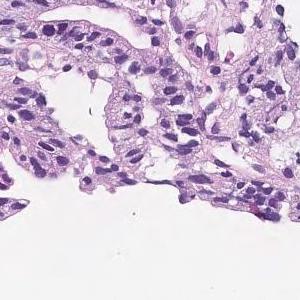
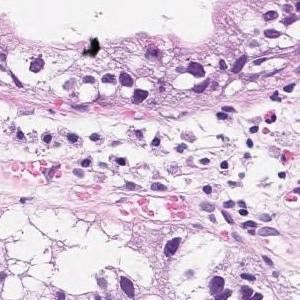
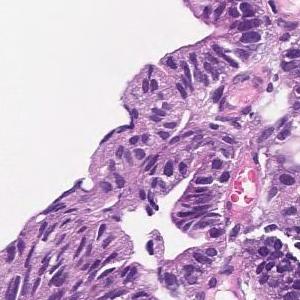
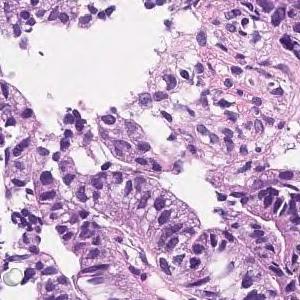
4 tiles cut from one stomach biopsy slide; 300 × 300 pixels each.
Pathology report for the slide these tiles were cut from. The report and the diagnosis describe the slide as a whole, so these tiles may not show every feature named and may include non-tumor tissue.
In the superficial epithelium, tumor tissue that invades by forming medium-sized to small, irregular ducts is observed. Moderately differentiated adenocarcinoma.
Classified as moderately differentiated tubular adenocarcinoma.
